16 image tiles from a single gastric biopsy slide · scanned at ×20 · hematoxylin and eosin stain.
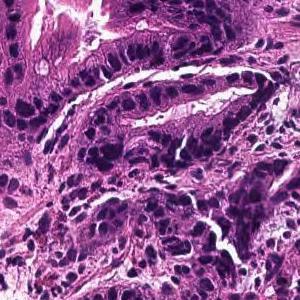
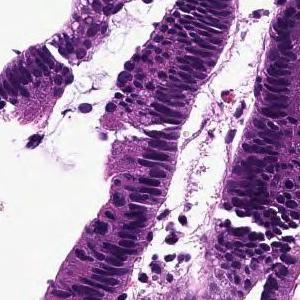
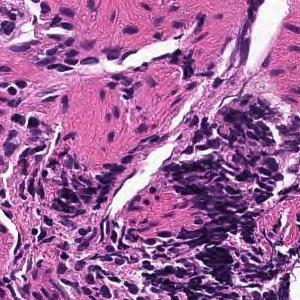
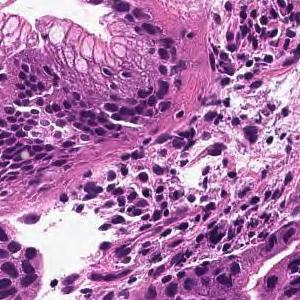
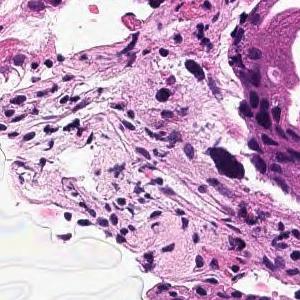
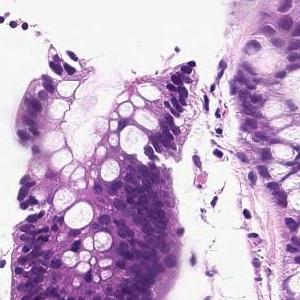
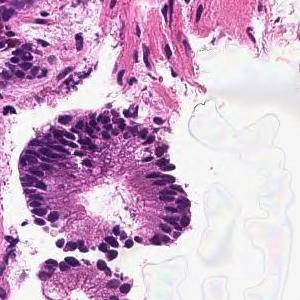
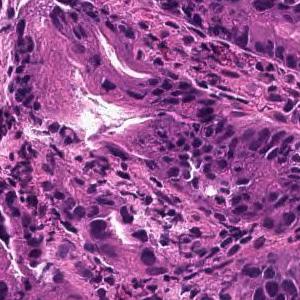
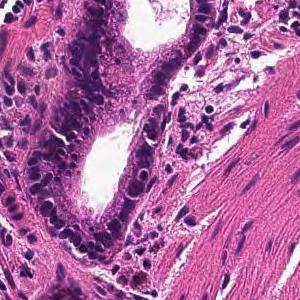
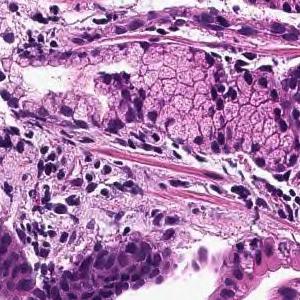
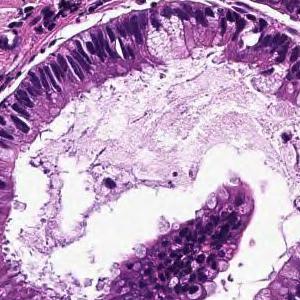
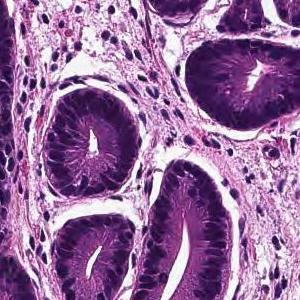
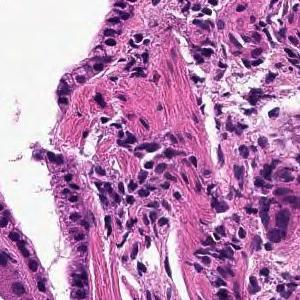
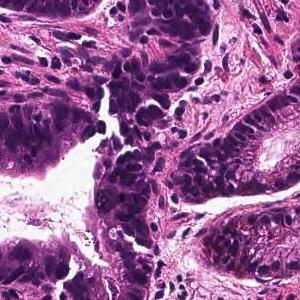
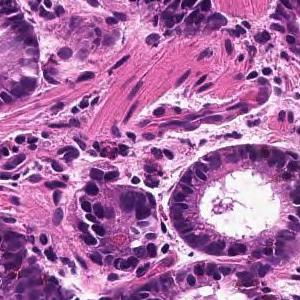
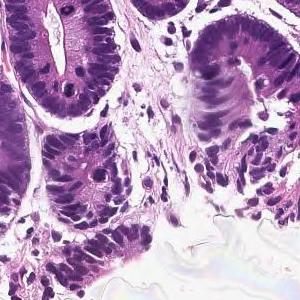
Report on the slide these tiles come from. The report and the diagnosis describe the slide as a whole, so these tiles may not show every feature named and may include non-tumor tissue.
From the superficial epithelium to the muscularis mucosae, tumor tissue consisting of medium-sized and irregular glandular ducts infiltrating is observed. Well differentiated tubular adenocarcinoma
